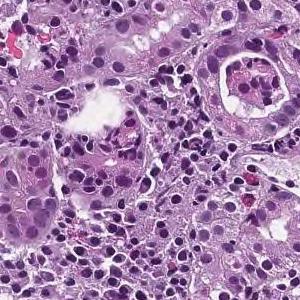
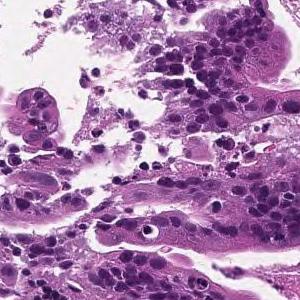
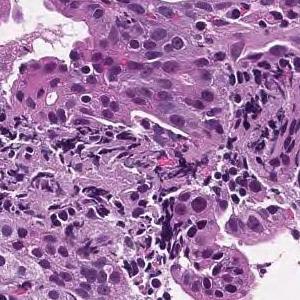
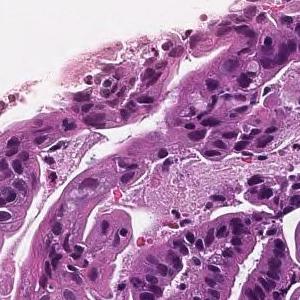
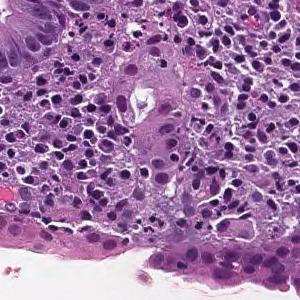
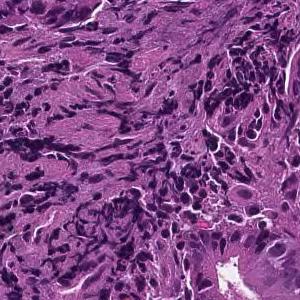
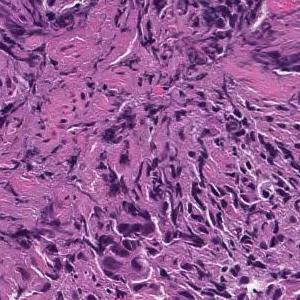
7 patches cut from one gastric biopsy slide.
Pathology report for the slide these tiles were cut from. The report and the diagnosis describe the slide as a whole, so these tiles may not show every feature named and may include non-tumor tissue.
From the superficial epithelium to the muscularis mucosae, tumor tissue consisting of medium-sized and irregular glandular ducts infiltrating is observed. Well differentiated tubular adenocarcinoma
